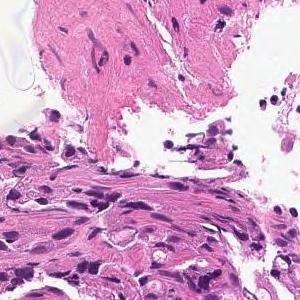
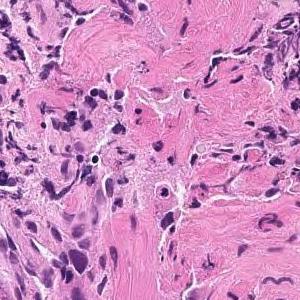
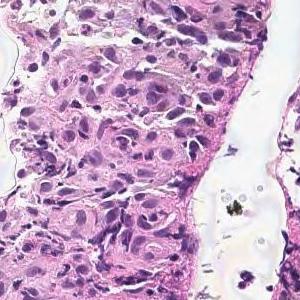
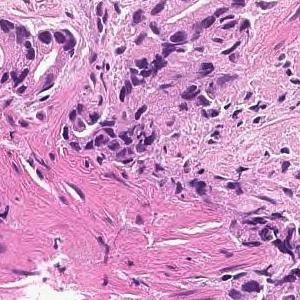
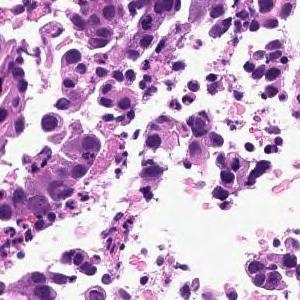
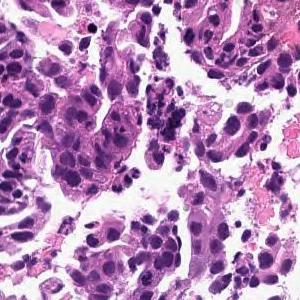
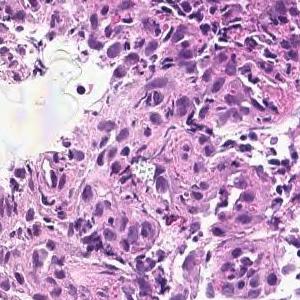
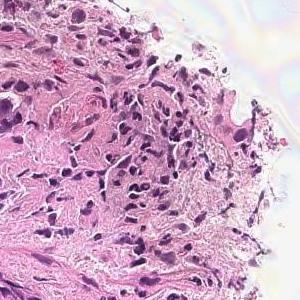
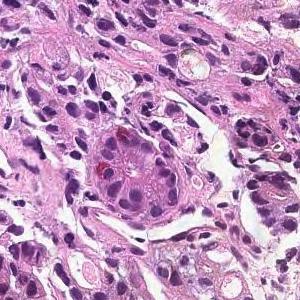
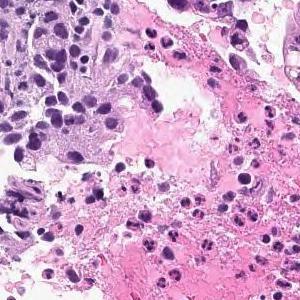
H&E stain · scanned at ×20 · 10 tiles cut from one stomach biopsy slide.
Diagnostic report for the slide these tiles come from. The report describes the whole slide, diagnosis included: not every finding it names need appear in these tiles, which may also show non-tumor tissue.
On the superficial epithelium, tumor tissue consisting of large irregular glandular ducts partially fused and infiltrated is observed. Well to moderately differentiated tubular adenocarcinoma (well differentiated tubular adenocarcinoma, moderately differentiated tubular adenocarcinoma)
Histological subtype: Well to moderately differentiated tubular adenocarcinoma.
